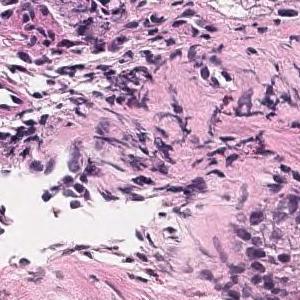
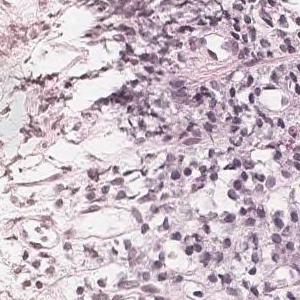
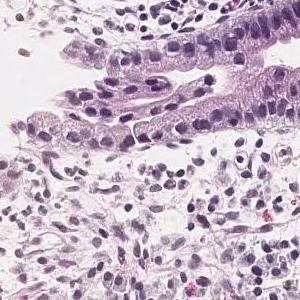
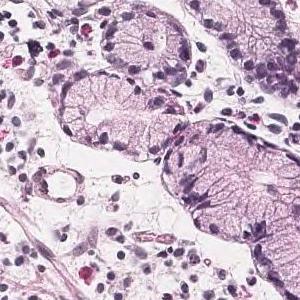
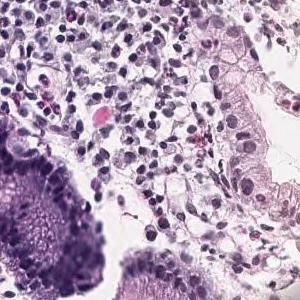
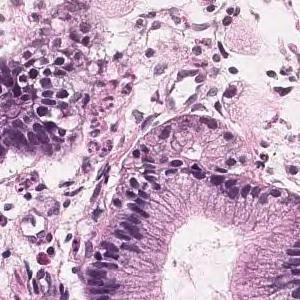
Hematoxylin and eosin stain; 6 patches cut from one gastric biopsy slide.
Report on the slide these tiles come from. The findings and the diagnosis refer to the entire slide; these tiles show only part of it, possibly with non-tumor tissue, and may not show every feature named.
Tumor tissue is observed in which atypical epithelial cells with mucus in the vesicles proliferate while being isolated. Signet ring cell carcinoma
